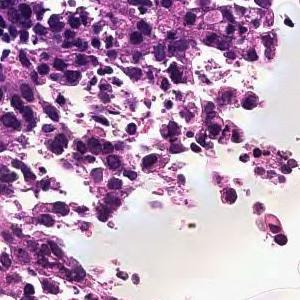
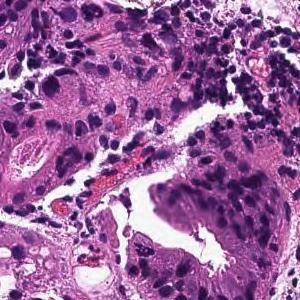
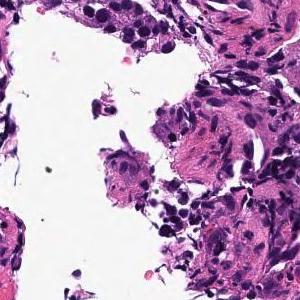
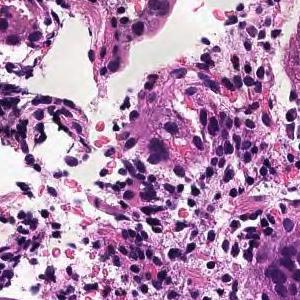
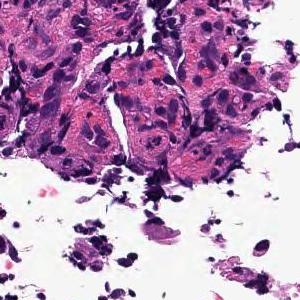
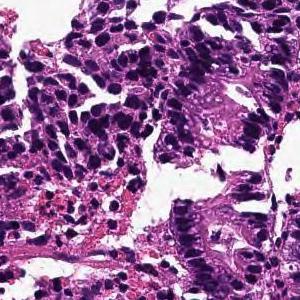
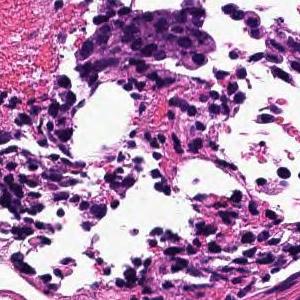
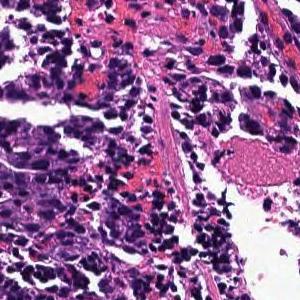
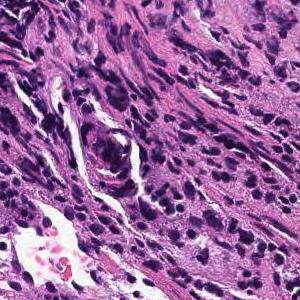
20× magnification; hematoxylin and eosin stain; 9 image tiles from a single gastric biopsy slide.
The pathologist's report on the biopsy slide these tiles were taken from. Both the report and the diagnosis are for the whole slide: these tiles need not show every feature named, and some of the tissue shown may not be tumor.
In the superficial epithelium, tumor tissue that invades by forming medium-sized to small, irregular ducts is observed. moderately differentiated tubular adenocarcinoma.
